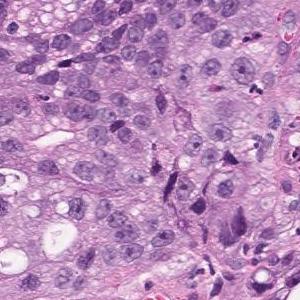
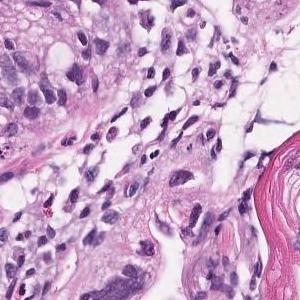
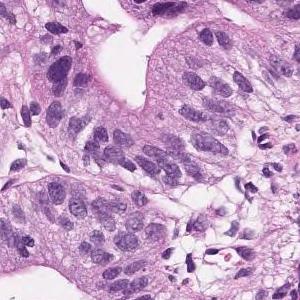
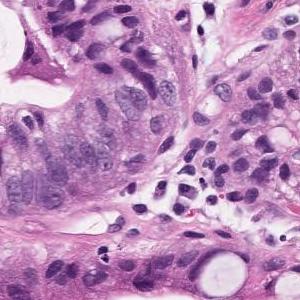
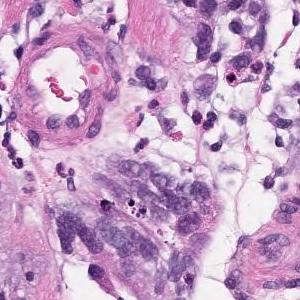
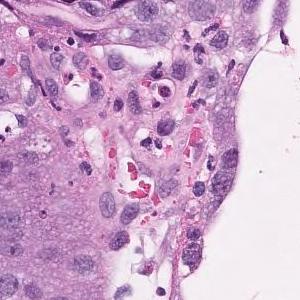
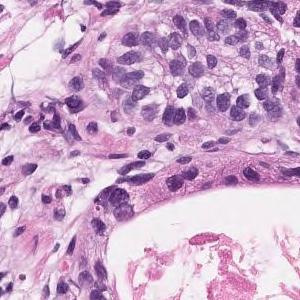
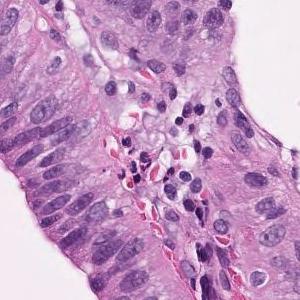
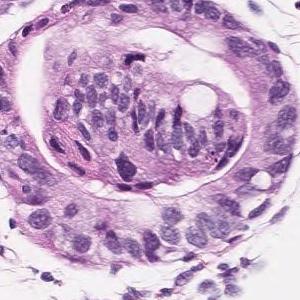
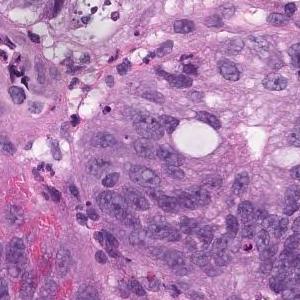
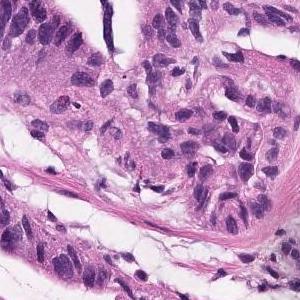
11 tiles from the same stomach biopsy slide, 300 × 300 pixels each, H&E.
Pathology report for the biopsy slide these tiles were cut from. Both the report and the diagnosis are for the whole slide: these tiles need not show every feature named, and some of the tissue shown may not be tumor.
On the superficial epithelium, tumor tissue consisting of medium to small irregular tubules partially fused and proliferated is observed. Well differentiated tubular adenocarcinoma
